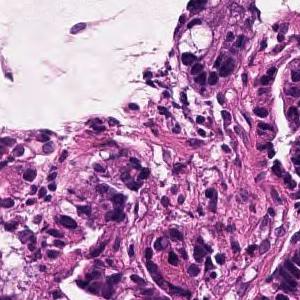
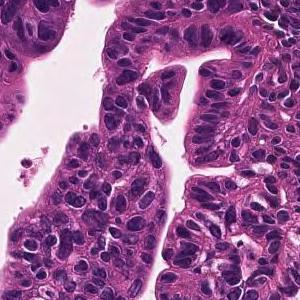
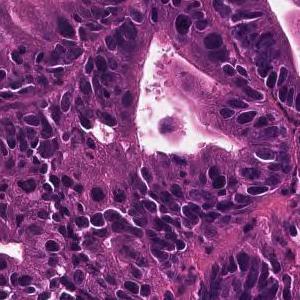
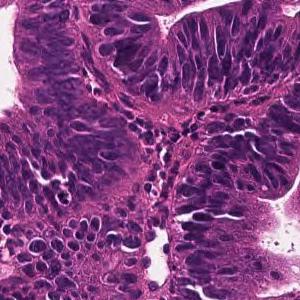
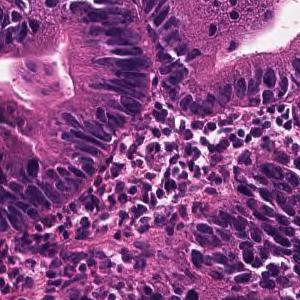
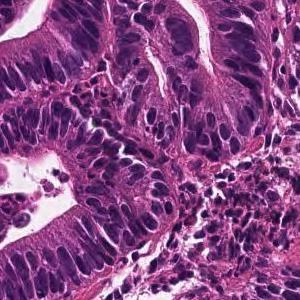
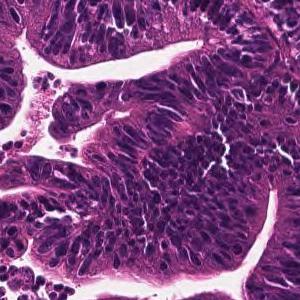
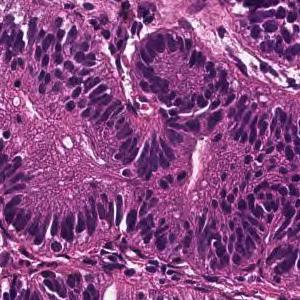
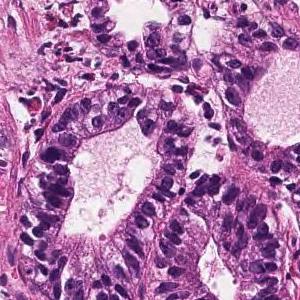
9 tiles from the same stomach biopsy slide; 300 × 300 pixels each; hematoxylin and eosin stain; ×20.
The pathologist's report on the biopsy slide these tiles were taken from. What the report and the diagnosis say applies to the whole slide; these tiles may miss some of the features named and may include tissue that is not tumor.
A large irregular tubular structure is exhibited in the epithelium, and tumor tissue that partially fuses and infiltrates and proliferates is observed. Large columnar tumor cells exhibit enlarged nucleus, hyperchromatism, and mitotic figures. Well differentiated tubular adenocarcinoma
